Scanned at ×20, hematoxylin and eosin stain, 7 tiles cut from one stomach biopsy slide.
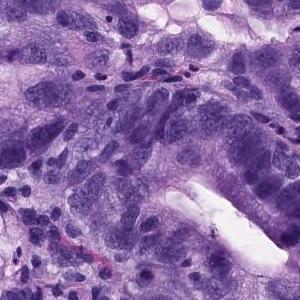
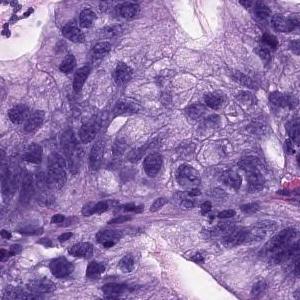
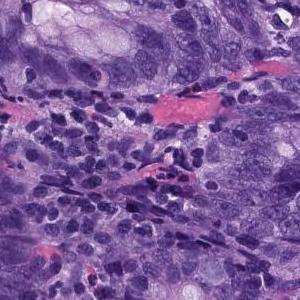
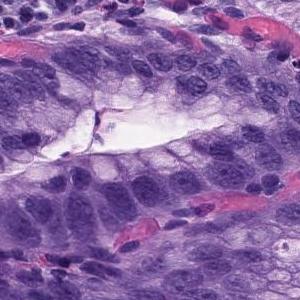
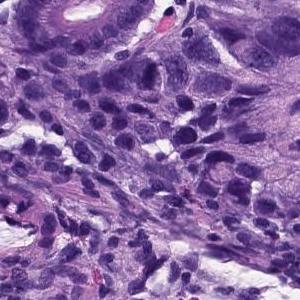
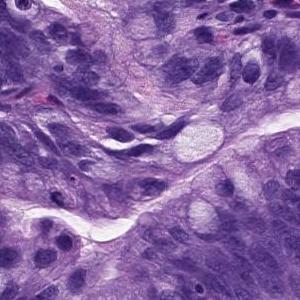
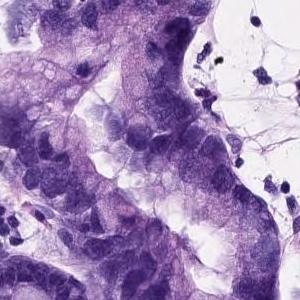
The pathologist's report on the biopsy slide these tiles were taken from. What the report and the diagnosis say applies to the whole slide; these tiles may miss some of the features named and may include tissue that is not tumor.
There are large atypical epithelial cells infiltrating and proliferating while forming atypical glandular cavities showing a fusion tendency. Moderately differentiated tubular adenocarcinoma.
